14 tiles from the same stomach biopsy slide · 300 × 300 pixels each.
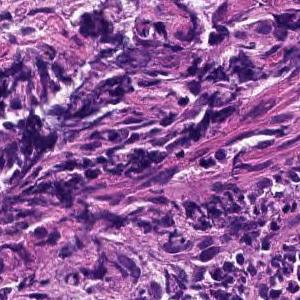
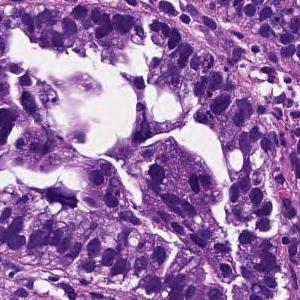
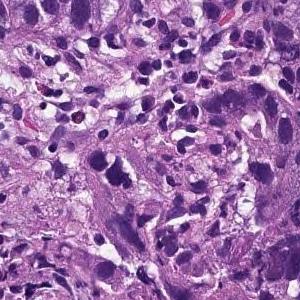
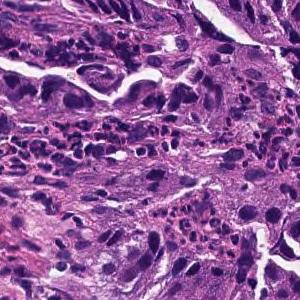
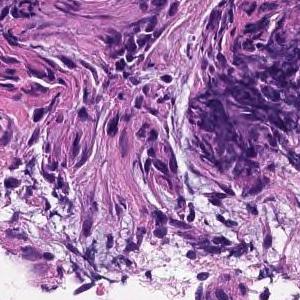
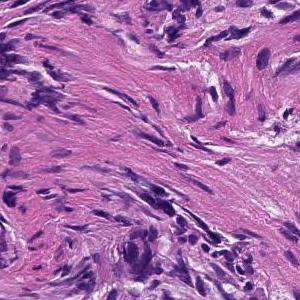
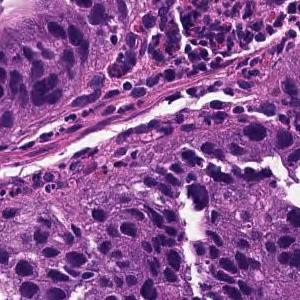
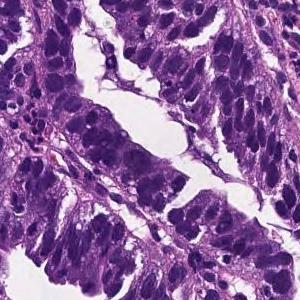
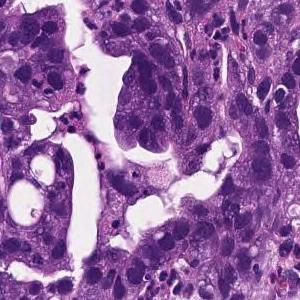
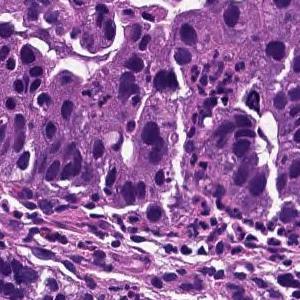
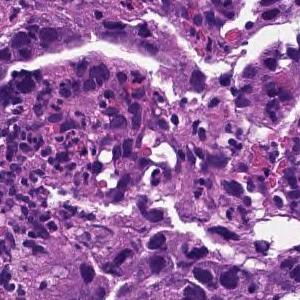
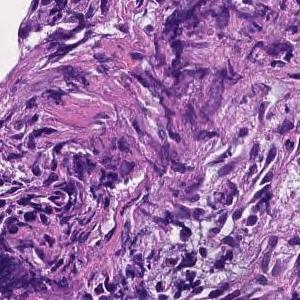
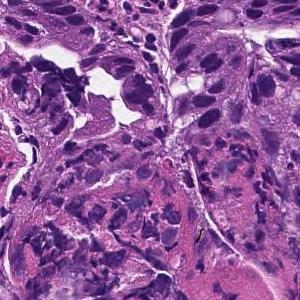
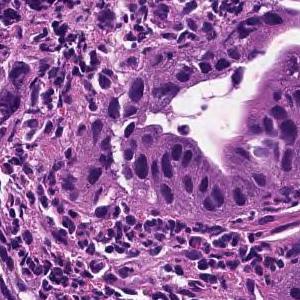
The pathologist's report on the biopsy slide these tiles were taken from. The report describes the whole slide, diagnosis included: not every finding it names need appear in these tiles, which may also show non-tumor tissue.
Tumor tissue consisting of large papillary structures is found in the superficial epithelium. Papillary adenocarcinoma.
